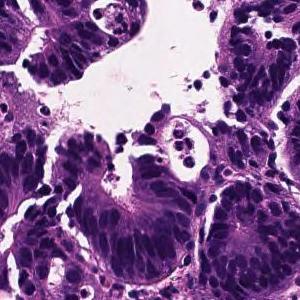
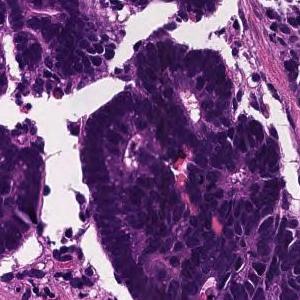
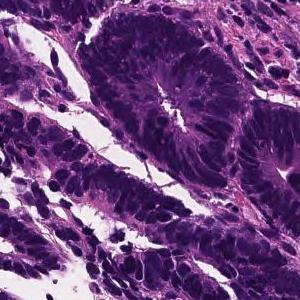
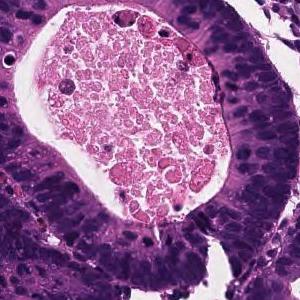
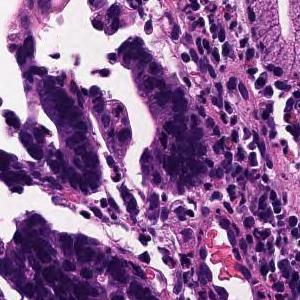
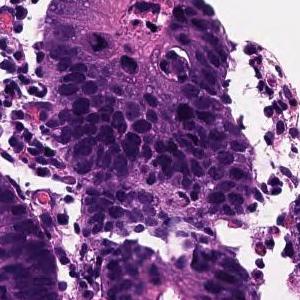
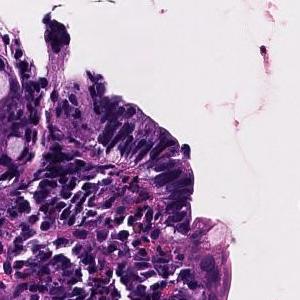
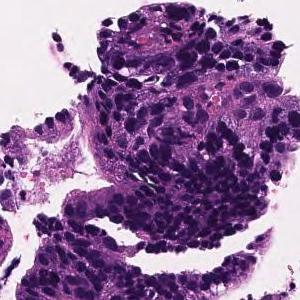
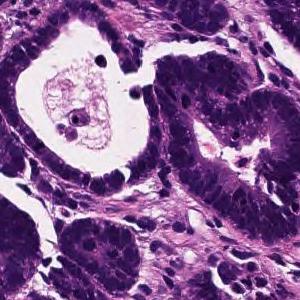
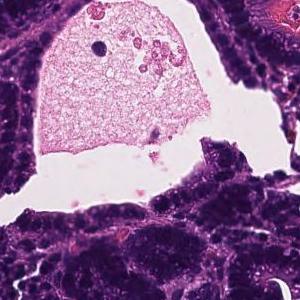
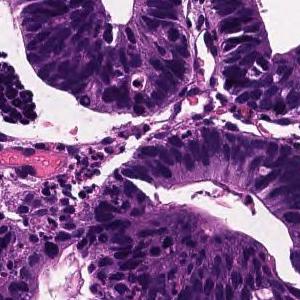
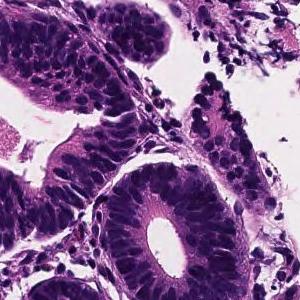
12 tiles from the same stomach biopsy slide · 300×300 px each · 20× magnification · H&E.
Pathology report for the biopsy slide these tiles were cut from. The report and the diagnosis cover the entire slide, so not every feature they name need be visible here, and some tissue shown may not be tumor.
On the superficial epithelium, tumor tissue consisting of medium-sized and irregular glandular ducts partially fused and infiltrated is observed. Well to moderately differentiated tubular adenocarcinoma (well differentiated tubular adenocarcinoma, moderately differentiated tubular adenocarcinoma)
Histologic type: Well to moderately differentiated tubular adenocarcinoma.
